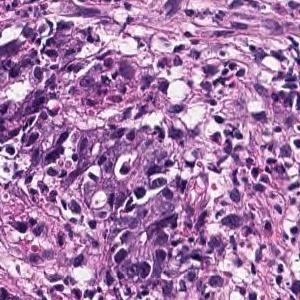
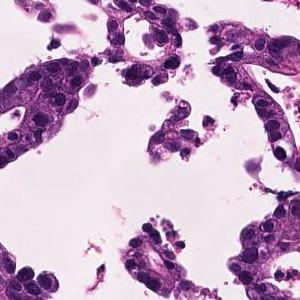
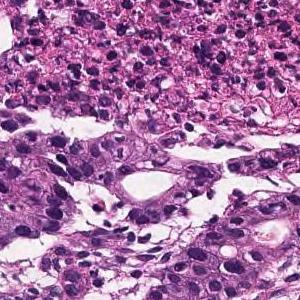
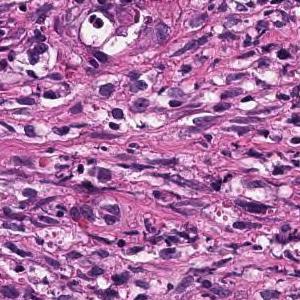
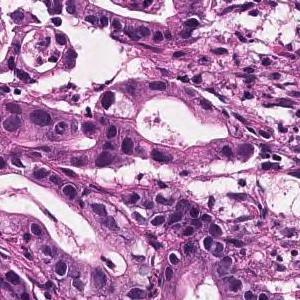
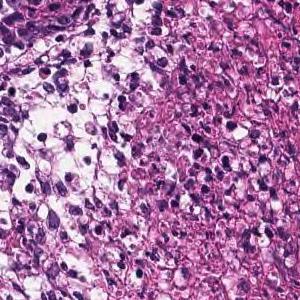
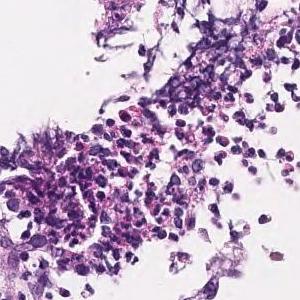
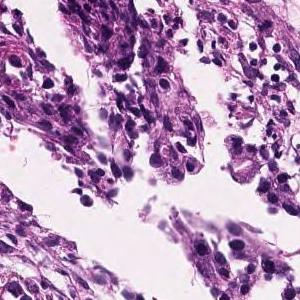
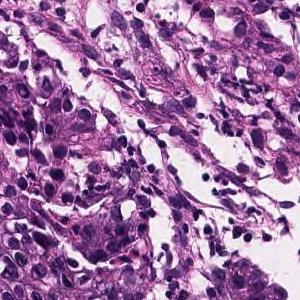
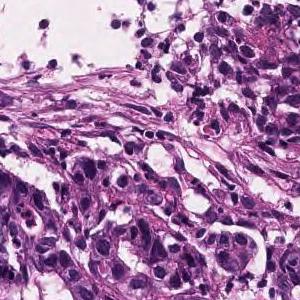
H&E stain; scanned at ×20; 10 tiles from the same stomach biopsy slide; each 300 × 300 pixels.
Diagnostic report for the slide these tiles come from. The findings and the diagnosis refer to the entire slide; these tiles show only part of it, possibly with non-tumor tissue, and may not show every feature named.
In the superficial epithelium, medium to small, irregular gland ducts are formed, and in some cases, the gland ducts are fused to show solid alveolar lesions and infiltrating tumor tissue is observed. Moderately to poorly differentiated adenocarcinoma.
